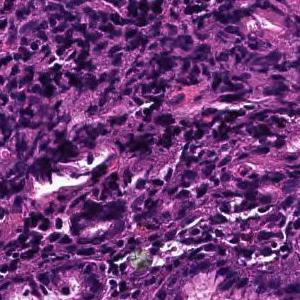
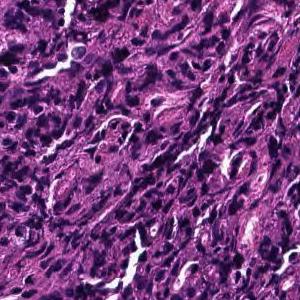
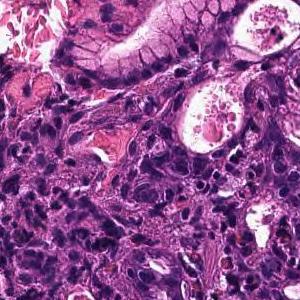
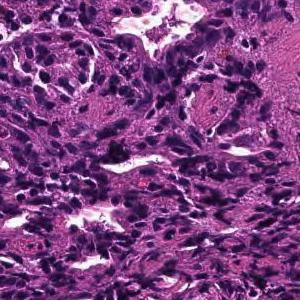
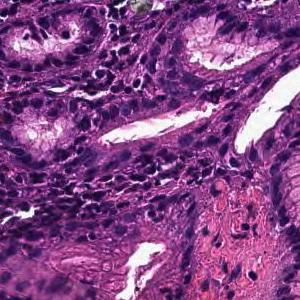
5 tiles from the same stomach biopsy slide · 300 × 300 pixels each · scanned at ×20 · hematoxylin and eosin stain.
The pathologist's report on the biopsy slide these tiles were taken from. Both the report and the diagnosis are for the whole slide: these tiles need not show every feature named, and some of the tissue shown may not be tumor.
In the superficial epithelium, tumor tissue that invades by forming medium-sized to small, irregular ducts is observed. moderately differentiated tubular adenocarcinoma.
